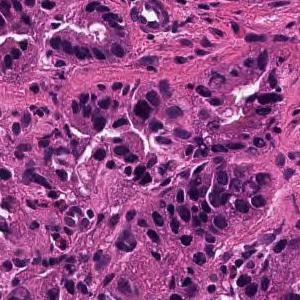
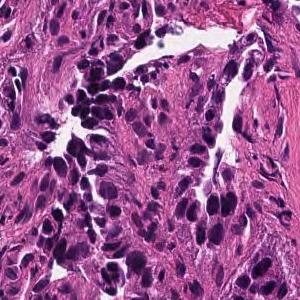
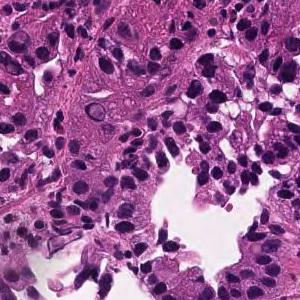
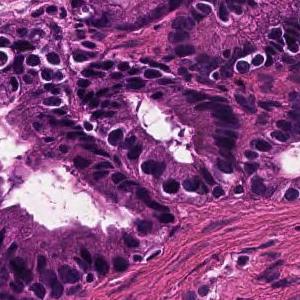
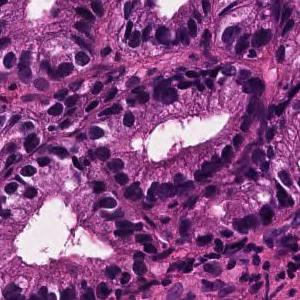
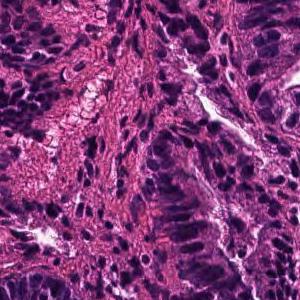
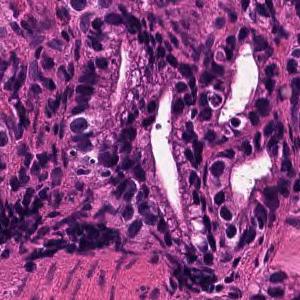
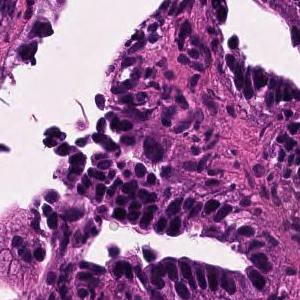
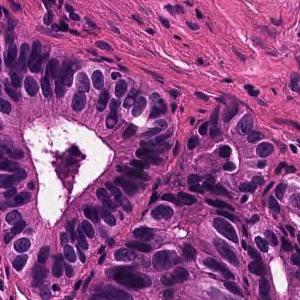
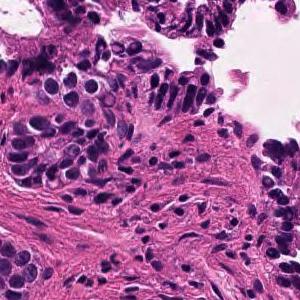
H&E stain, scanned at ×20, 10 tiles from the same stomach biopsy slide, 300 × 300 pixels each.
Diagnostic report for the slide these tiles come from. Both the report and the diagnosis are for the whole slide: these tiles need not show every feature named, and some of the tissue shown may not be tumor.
In the superficial epithelium, tumor tissue that invades by forming medium-sized to small, irregular ducts is observed. Well differentiated tubular adenocarcinoma.
